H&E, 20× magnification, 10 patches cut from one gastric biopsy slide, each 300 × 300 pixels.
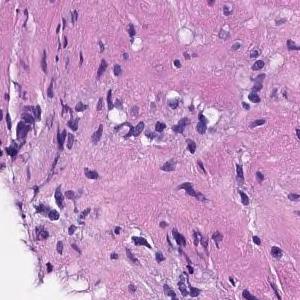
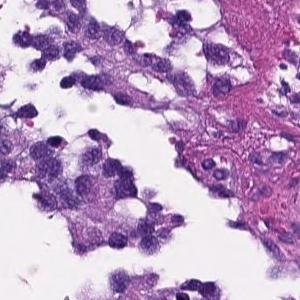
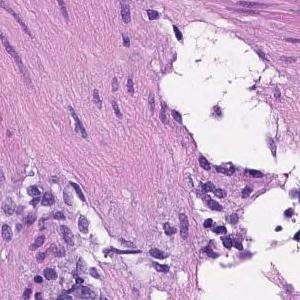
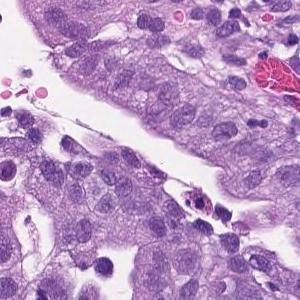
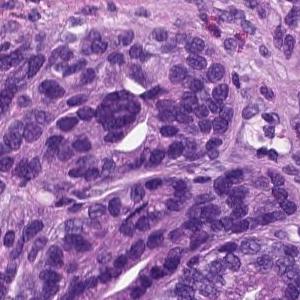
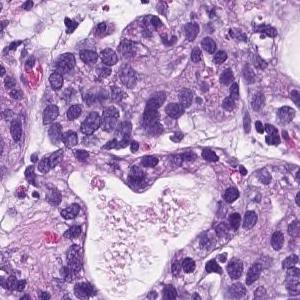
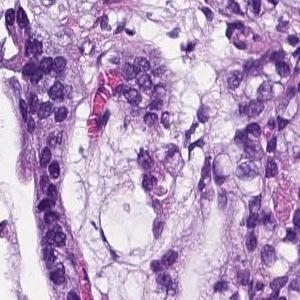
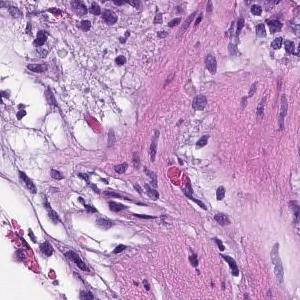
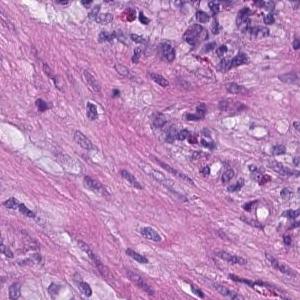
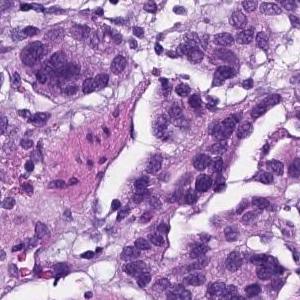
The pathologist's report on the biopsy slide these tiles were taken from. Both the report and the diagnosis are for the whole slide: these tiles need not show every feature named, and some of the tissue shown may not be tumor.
From the superficial epithelium to the muscularis mucosae, tumor tissue consisting of medium-sized and irregular glandular ducts infiltrating is observed. Well differentiated tubular adenocarcinoma
